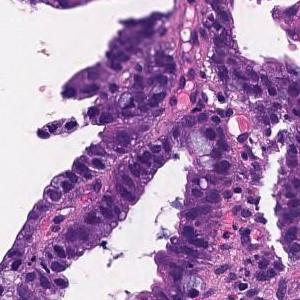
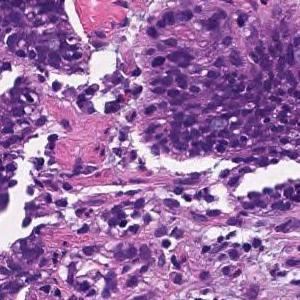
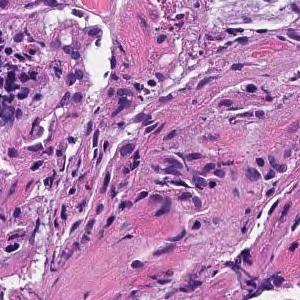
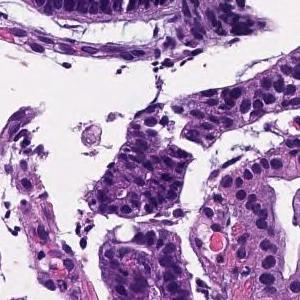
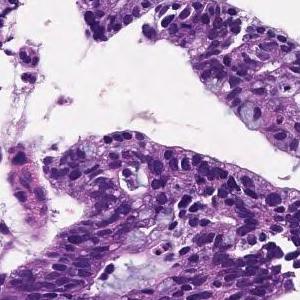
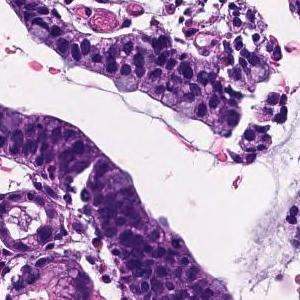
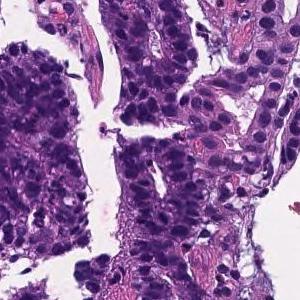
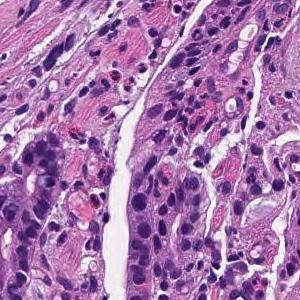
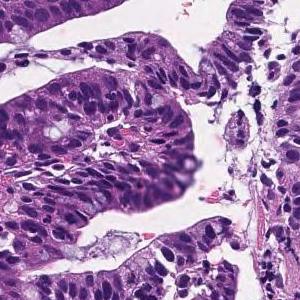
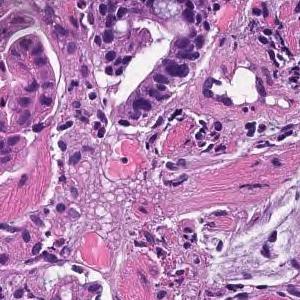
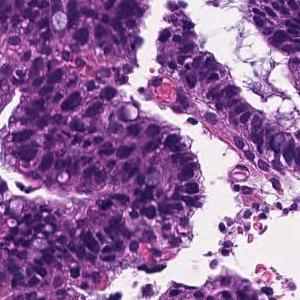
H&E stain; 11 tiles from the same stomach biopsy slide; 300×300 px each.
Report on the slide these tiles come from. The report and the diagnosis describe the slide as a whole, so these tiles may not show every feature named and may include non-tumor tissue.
Tumor cells are large, highly columnar, large club-shaped nuclei, and are associated with chromatin aggregation. Papillary adenocarcinoma.
